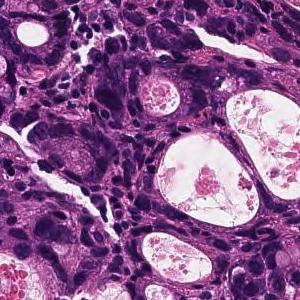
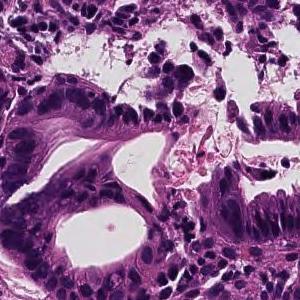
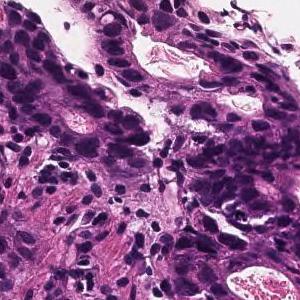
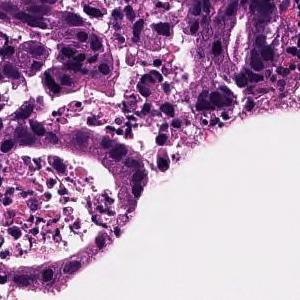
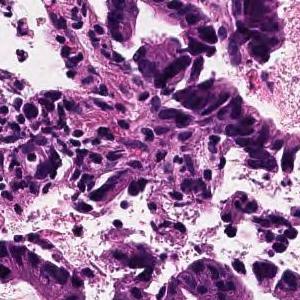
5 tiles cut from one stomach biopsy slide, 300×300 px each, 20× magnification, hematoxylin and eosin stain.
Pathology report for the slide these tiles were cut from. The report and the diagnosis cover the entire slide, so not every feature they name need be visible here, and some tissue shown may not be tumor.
In the superficial epithelium, tumor tissue that invades by forming medium-sized to small, irregular ducts is observed. moderately differentiated tubular adenocarcinoma.
